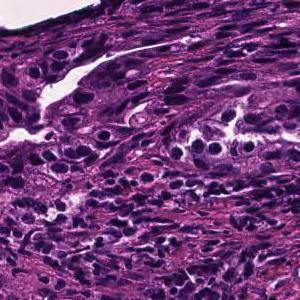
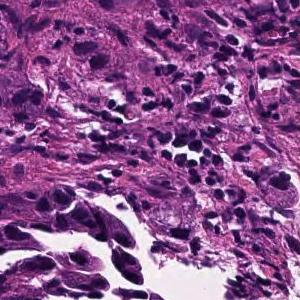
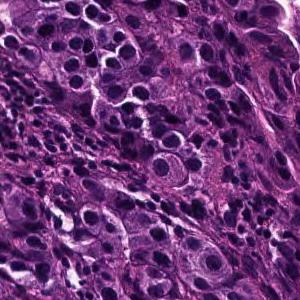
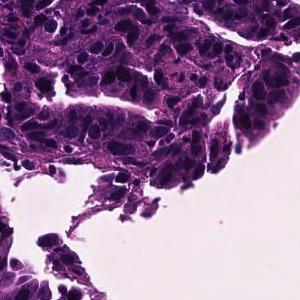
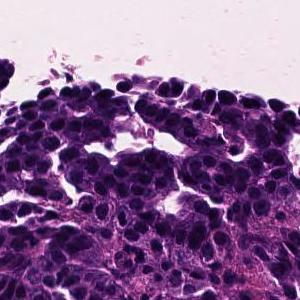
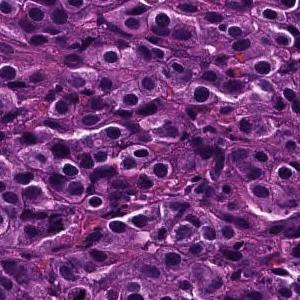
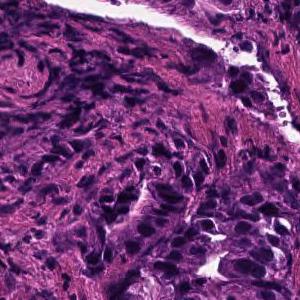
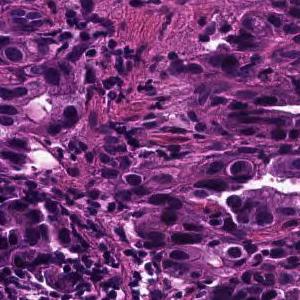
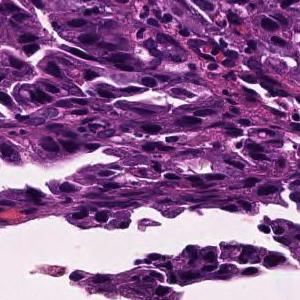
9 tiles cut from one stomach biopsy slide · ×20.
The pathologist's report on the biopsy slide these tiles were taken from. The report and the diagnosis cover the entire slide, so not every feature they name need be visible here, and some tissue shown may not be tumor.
Tumor tissue consisting of medium-sized, cord-like or irregular glandular fusion and infiltration is observed in the superficial epithelium. Poorly differentiated adenocarcinoma, non-solid type or moderately differentiated tubular adenocarcinoma
Classified as moderately to poorly differentiated adenocarcinoma.
The term "non-solid type" comes from the Japanese Classification of Gastric Carcinoma.
